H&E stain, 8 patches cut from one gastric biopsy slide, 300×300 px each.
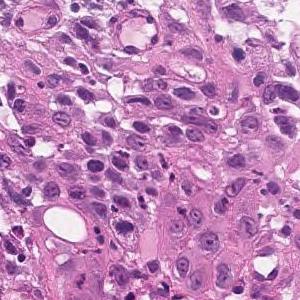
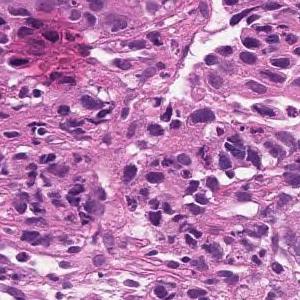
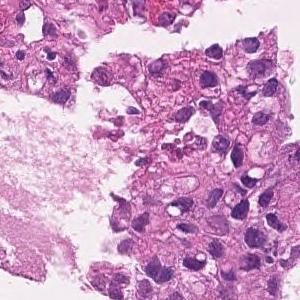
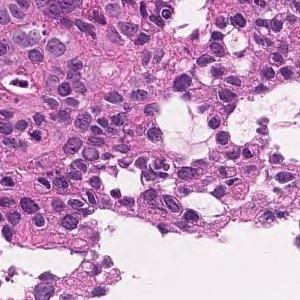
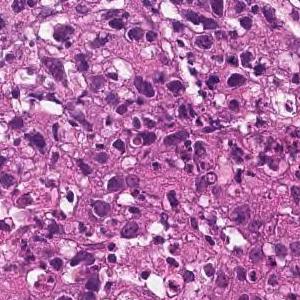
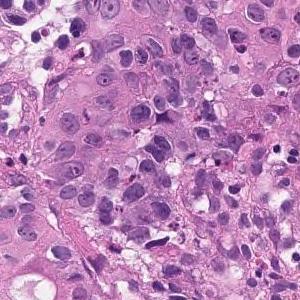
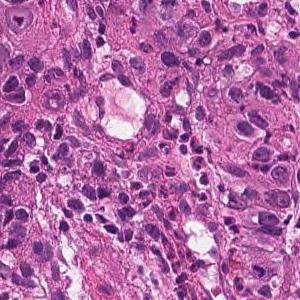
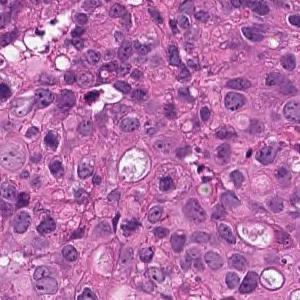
Report on the slide these tiles come from. The findings and the diagnosis refer to the entire slide; these tiles show only part of it, possibly with non-tumor tissue, and may not show every feature named.
The superficial epithelium shows a large sheet-like shape, and some tumor tissue infiltrates with small irregular ducts. Poorly differentiated adenocarcinoma, solid-type
Subtype: Poorly differentiated adenocarcinoma, solid type (Japanese Classification of Gastric Carcinoma). The WHO 2019 equivalent is tubular adenocarcinoma, poorly differentiated.
